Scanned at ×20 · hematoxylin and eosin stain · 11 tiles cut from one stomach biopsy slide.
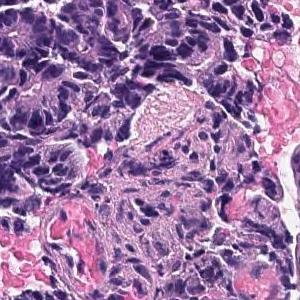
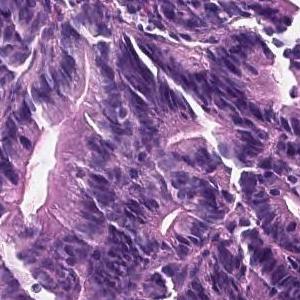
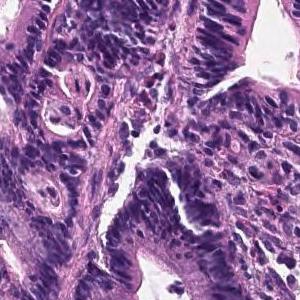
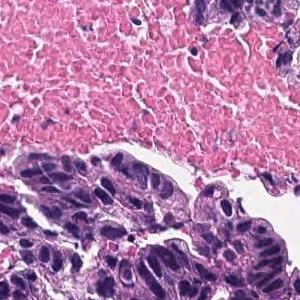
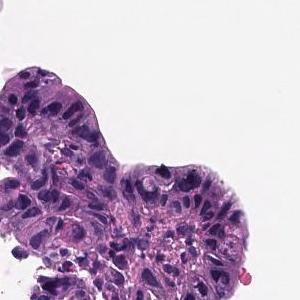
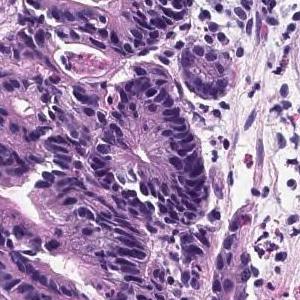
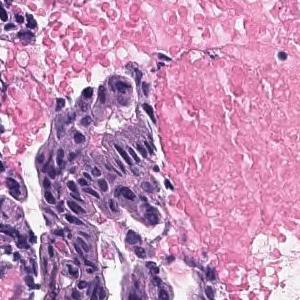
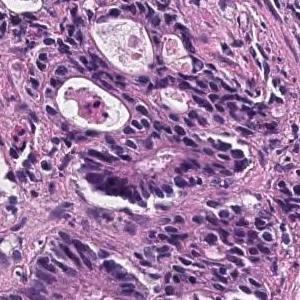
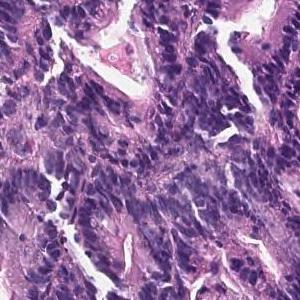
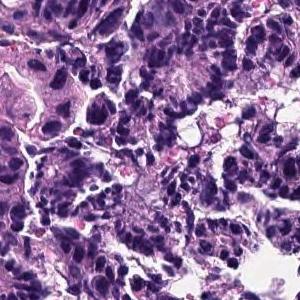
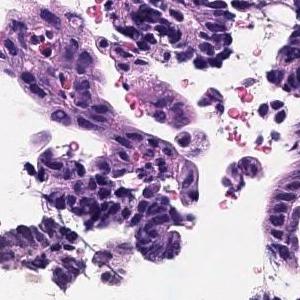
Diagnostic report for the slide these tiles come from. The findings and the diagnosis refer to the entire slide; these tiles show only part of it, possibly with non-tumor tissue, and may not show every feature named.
In the superficial epithelium, tumor tissue that invades by forming medium-sized to small, irregular ducts is observed. Moderately differentiated adenocarcinoma.
Classified as moderately differentiated tubular adenocarcinoma.
